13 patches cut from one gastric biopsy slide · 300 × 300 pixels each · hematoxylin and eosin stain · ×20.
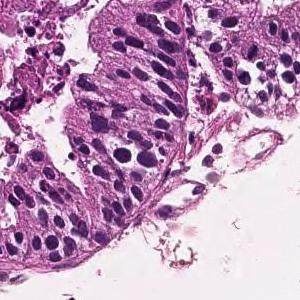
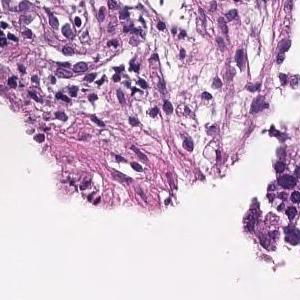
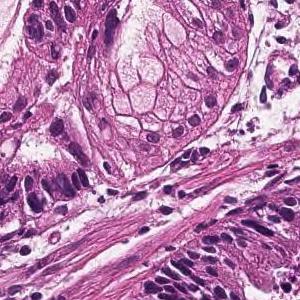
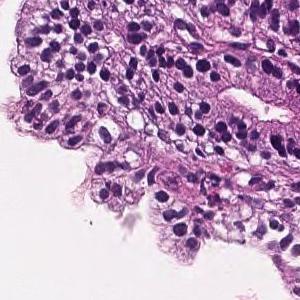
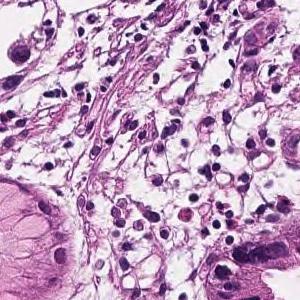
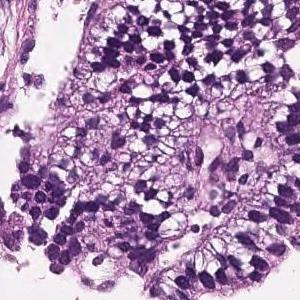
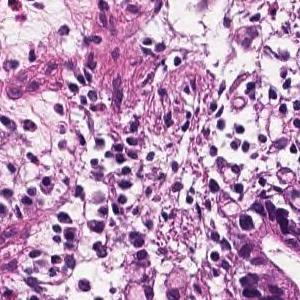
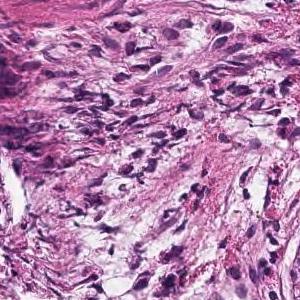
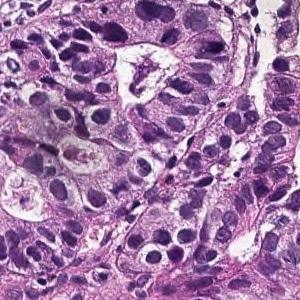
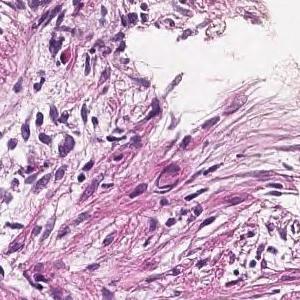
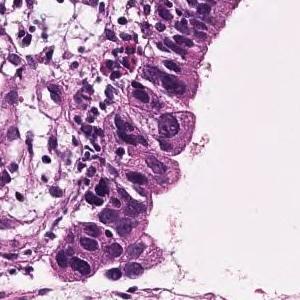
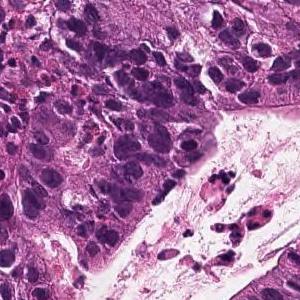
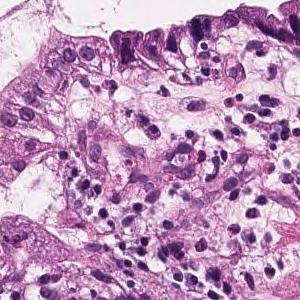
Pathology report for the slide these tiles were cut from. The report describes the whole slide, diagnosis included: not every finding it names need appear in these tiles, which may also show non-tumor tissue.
On the superficial epithelium, tumor tissue consisting of large, irregular glandular ducts partially fused and infiltrated is observed. Well to moderately differentiated tubular adenocarcinoma (well differentiated tubular adenocarcinoma, moderately differentiated tubular adenocarcinoma)
Tumor subtype: well to moderately differentiated tubular adenocarcinoma.
